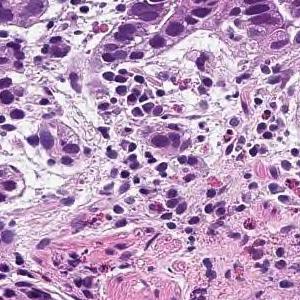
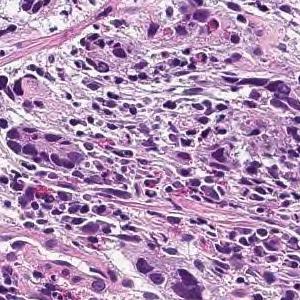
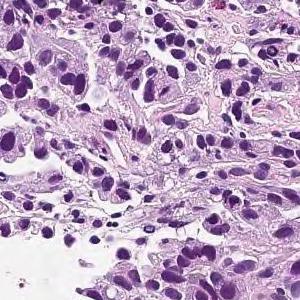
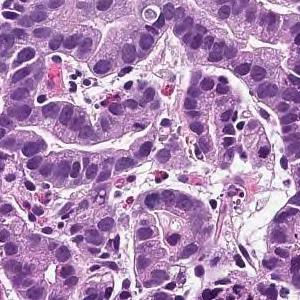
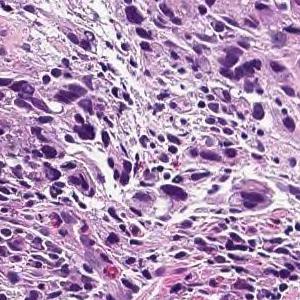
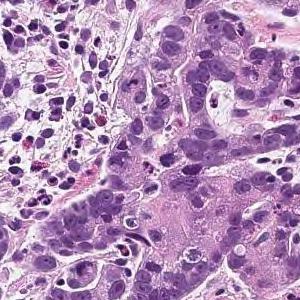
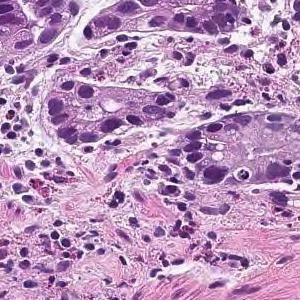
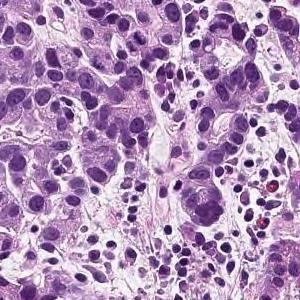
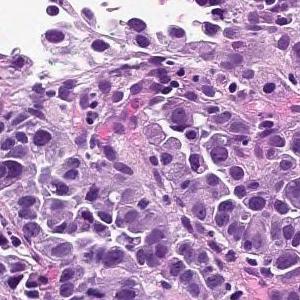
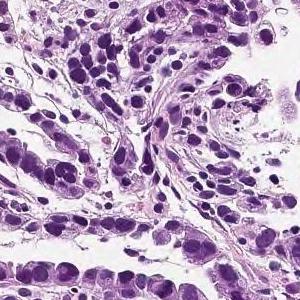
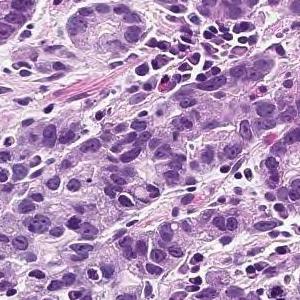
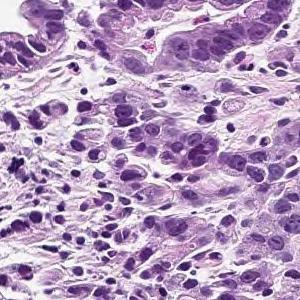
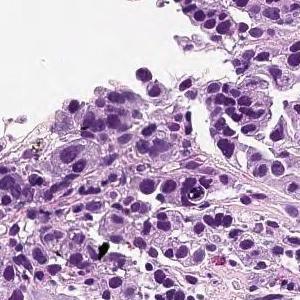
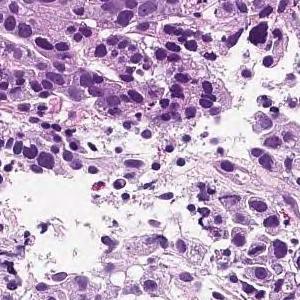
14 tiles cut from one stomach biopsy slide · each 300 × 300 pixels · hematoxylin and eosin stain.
The pathologist's report on the biopsy slide these tiles were taken from. The report describes the whole slide, diagnosis included: not every finding it names need appear in these tiles, which may also show non-tumor tissue.
Tumor tissue consisting of medium-sized, cord-like or irregular glandular infiltration is observed in the superficial epithelium. Poorly differentiated adenocarcinoma, non-solid type or moderately differentiated tubular adenocarcinoma
Histologic type: Moderately to poorly differentiated adenocarcinoma.
The non-solid type named here is a Japanese Classification of Gastric Carcinoma category.
